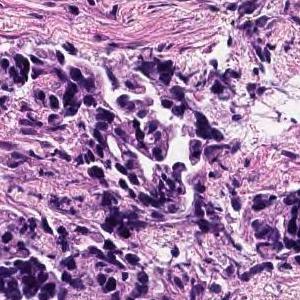
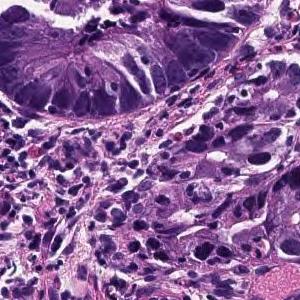
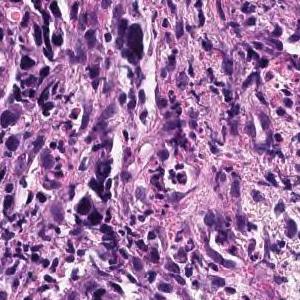
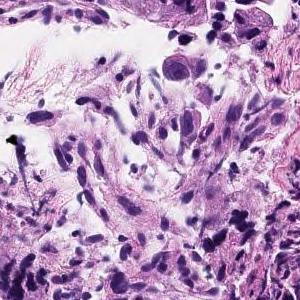
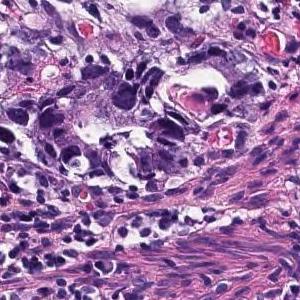
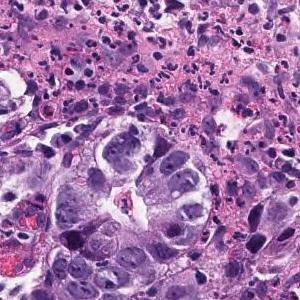
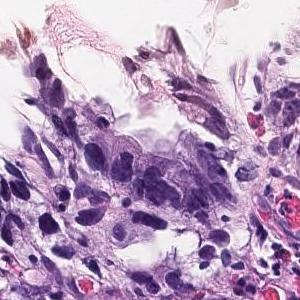
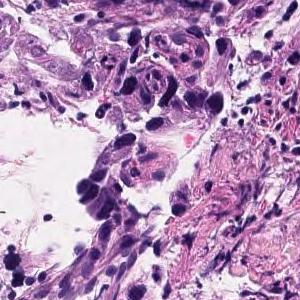
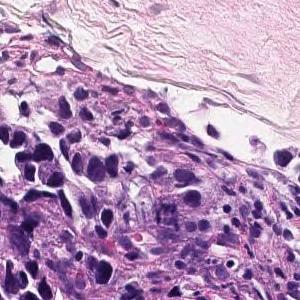
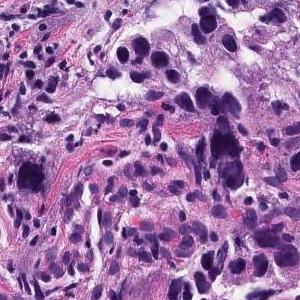
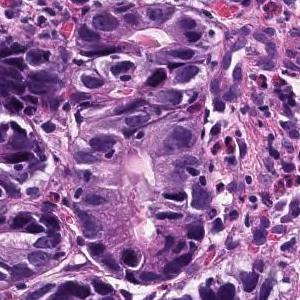
H&E stain; 11 tiles from the same stomach biopsy slide.
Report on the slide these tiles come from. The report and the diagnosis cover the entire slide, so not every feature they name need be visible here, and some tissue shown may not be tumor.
In the superficial epithelium, tumor tissue that invades by forming medium-sized to small, irregular ducts is observed. Tumor cells are columnar or cuboidal in shape. Moderately differentiated adenocarcinoma.
Tumor subtype: moderately differentiated tubular adenocarcinoma.
